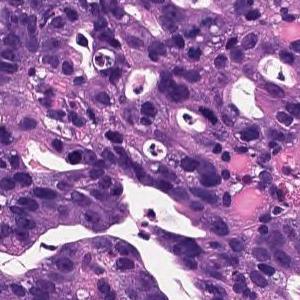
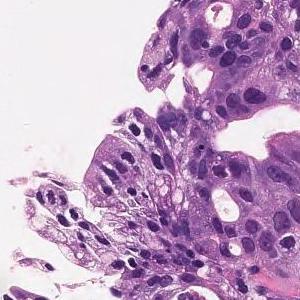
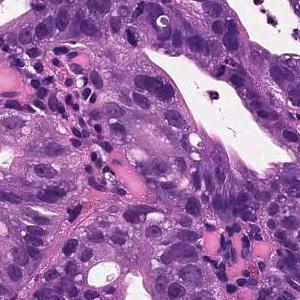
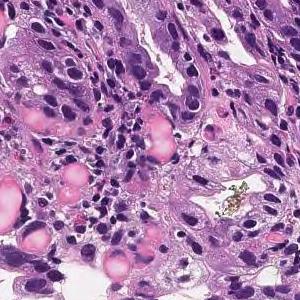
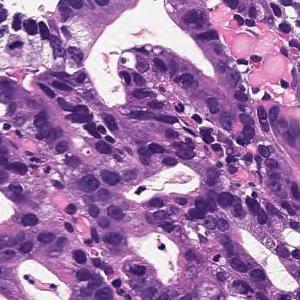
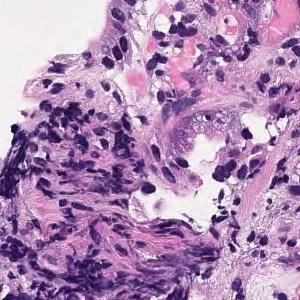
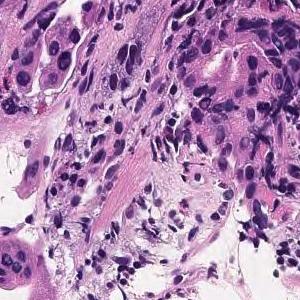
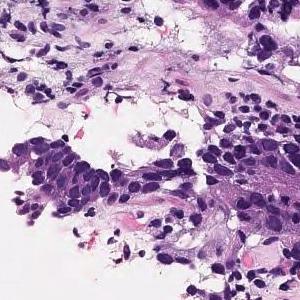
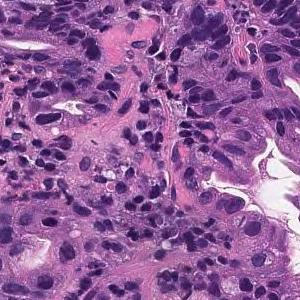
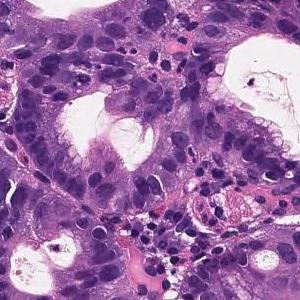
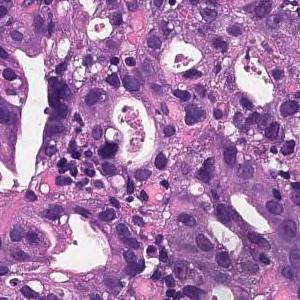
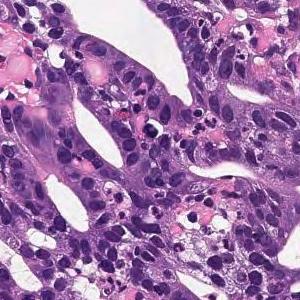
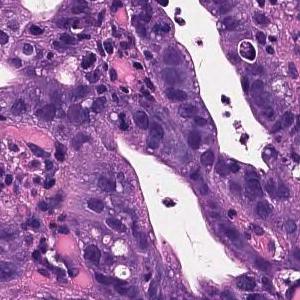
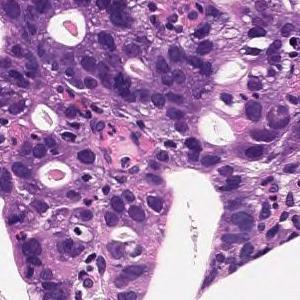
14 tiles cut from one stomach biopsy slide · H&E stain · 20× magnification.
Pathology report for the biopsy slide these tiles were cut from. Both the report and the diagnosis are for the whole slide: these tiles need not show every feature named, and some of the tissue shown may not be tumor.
On the superficial epithelium, tumor tissue consisting of large, irregular glandular ducts partially fused and infiltrated is observed. Well to moderately differentiated tubular adenocarcinoma (well differentiated tubular adenocarcinoma, moderately differentiated tubular adenocarcinoma)
Subtype: Well to moderately differentiated tubular adenocarcinoma.
